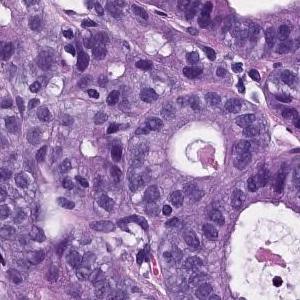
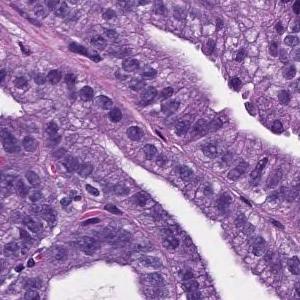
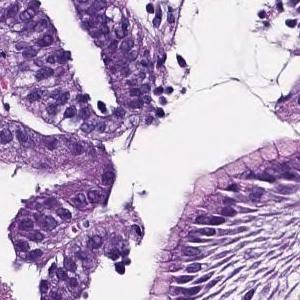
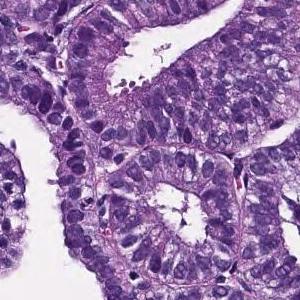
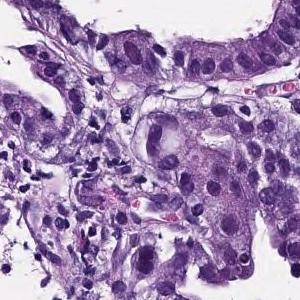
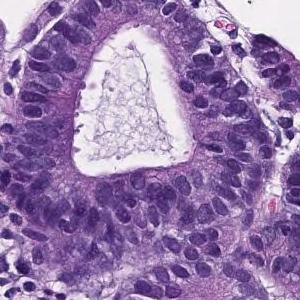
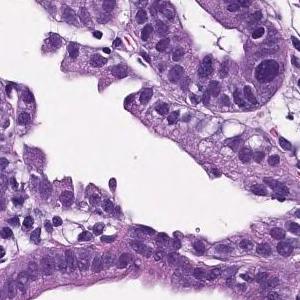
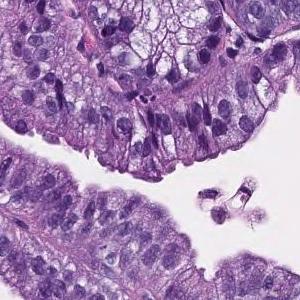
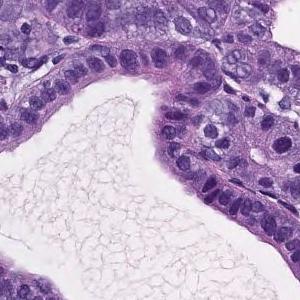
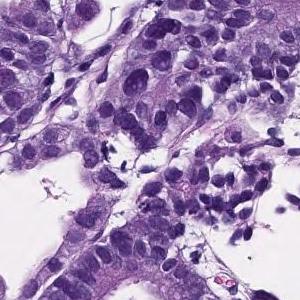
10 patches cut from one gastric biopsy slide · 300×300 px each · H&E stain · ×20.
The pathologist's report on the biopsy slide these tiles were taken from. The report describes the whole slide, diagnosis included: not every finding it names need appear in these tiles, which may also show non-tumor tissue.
On the superficial epithelium, tumor tissue that infiltrates by forming medium-sized papillary or small irregular ducts is observed. Papillary adenocarcinoma
